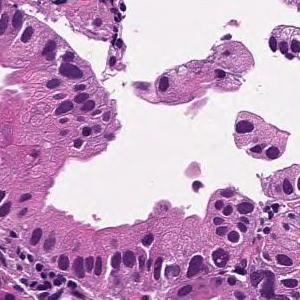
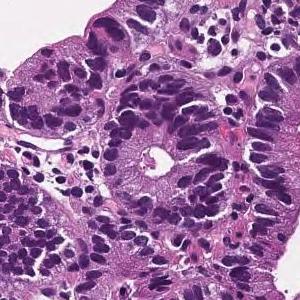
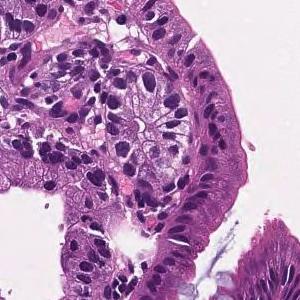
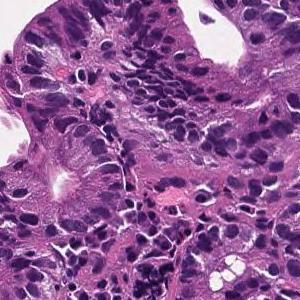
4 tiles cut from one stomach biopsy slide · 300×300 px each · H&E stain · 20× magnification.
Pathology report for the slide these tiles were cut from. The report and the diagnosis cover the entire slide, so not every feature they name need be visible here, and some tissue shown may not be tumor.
From the superficial epithelium to the muscularis mucosae, tumor tissue consisting of medium-sized and irregular glandular ducts infiltrating is observed. Well differentiated tubular adenocarcinoma
